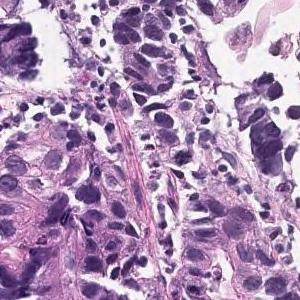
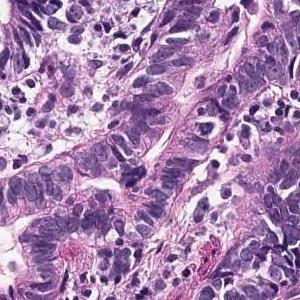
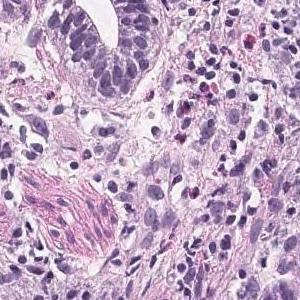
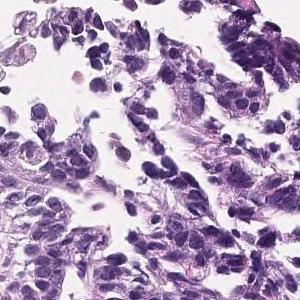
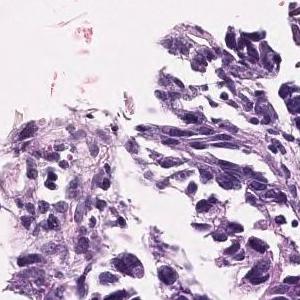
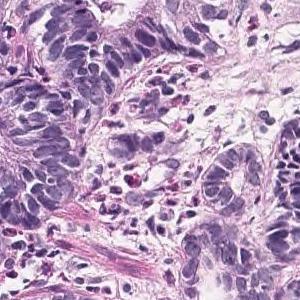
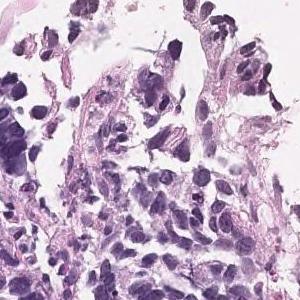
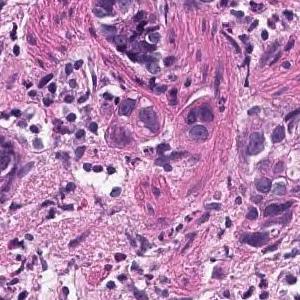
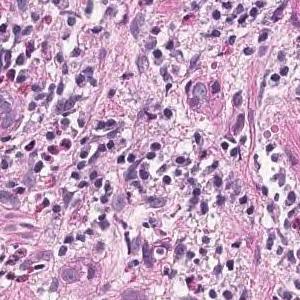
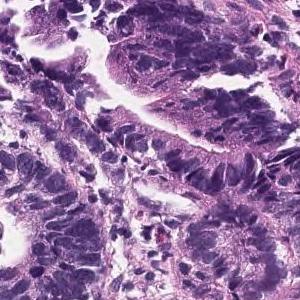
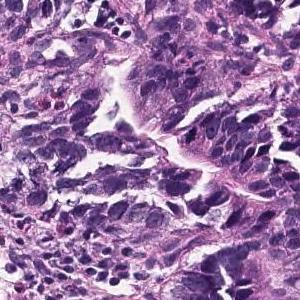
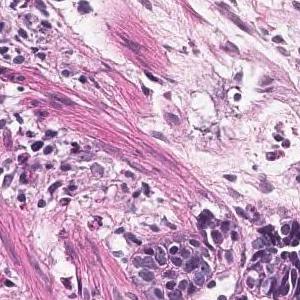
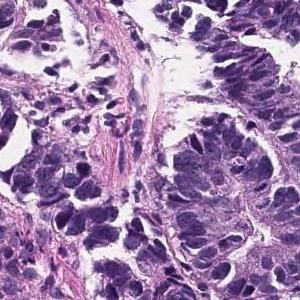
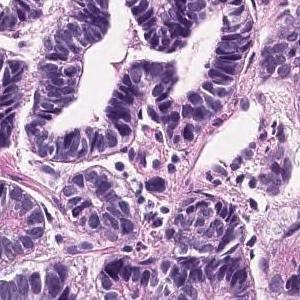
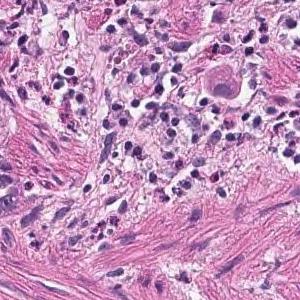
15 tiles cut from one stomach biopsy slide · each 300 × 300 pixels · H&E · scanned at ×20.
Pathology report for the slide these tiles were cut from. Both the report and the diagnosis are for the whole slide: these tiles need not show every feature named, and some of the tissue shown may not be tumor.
In the superficial epithelium, tumor tissue that invades by forming medium-sized to small, irregular ducts is observed. Well differentiated tubular adenocarcinoma.
